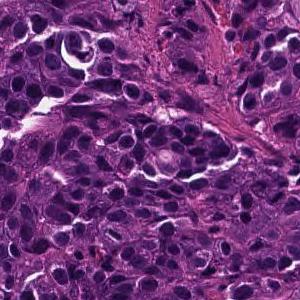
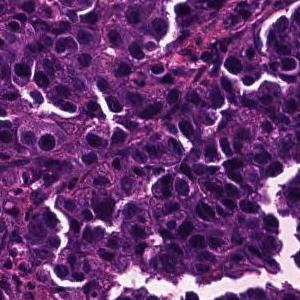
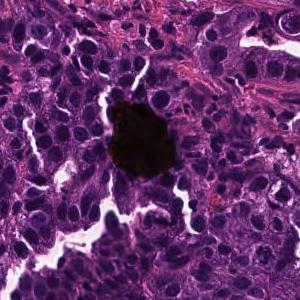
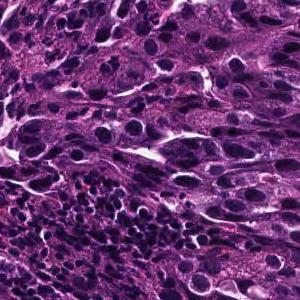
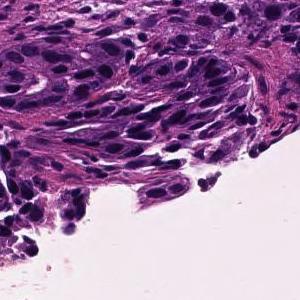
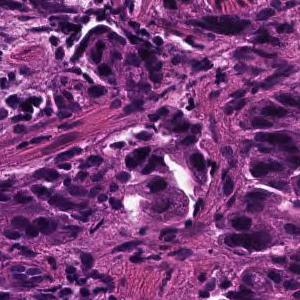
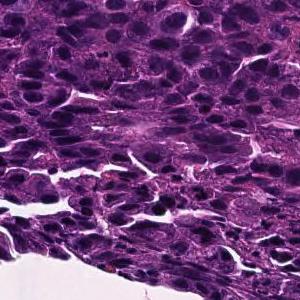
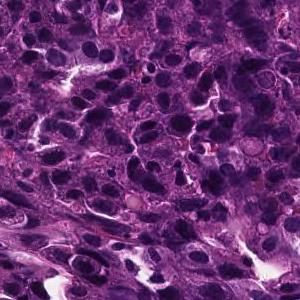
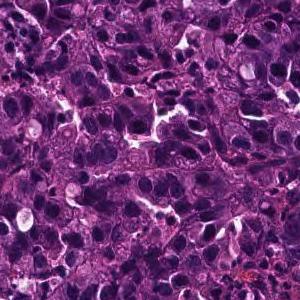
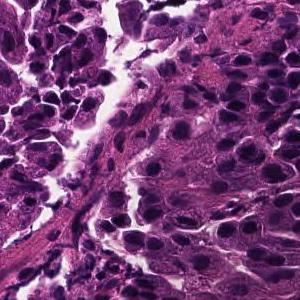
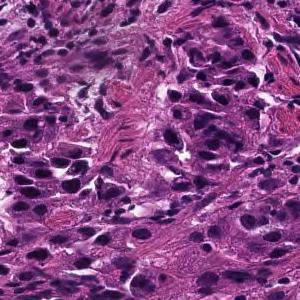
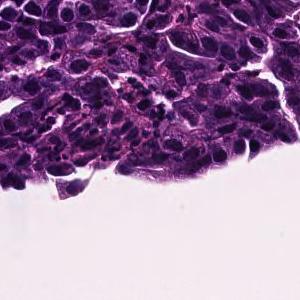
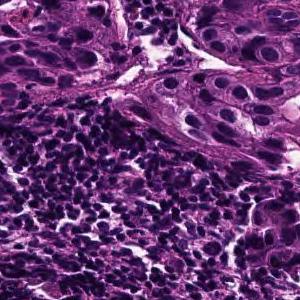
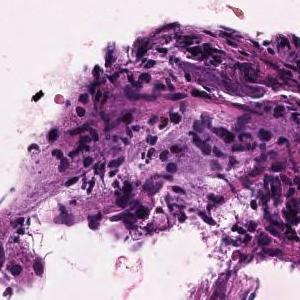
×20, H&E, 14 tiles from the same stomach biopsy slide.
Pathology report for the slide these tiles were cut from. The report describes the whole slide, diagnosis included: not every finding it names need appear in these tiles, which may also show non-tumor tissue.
Tumor tissue consisting of medium-sized, cord-like or irregular glandular fusion and infiltration is observed in the superficial epithelium. Poorly differentiated adenocarcinoma, non-solid type or moderately differentiated tubular adenocarcinoma
Classified as moderately to poorly differentiated adenocarcinoma.
"Non-solid type" is a category of the Japanese Classification of Gastric Carcinoma.
